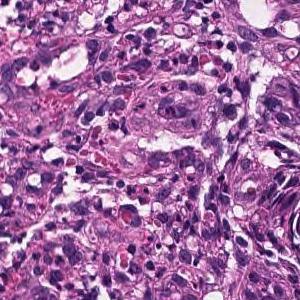
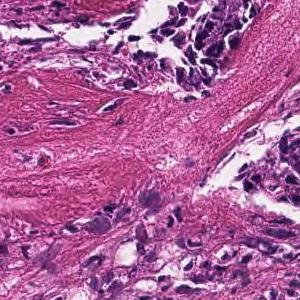
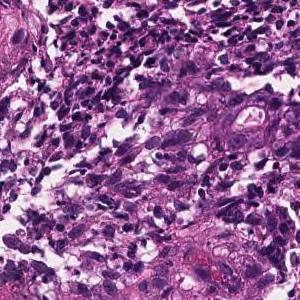
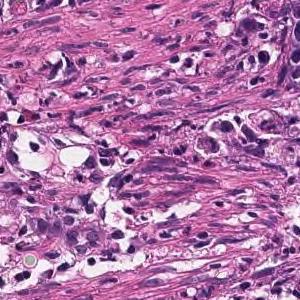
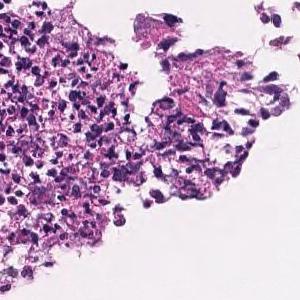
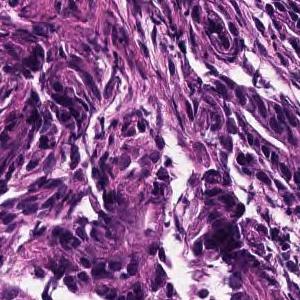
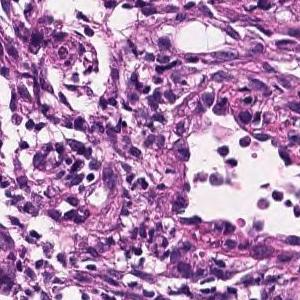
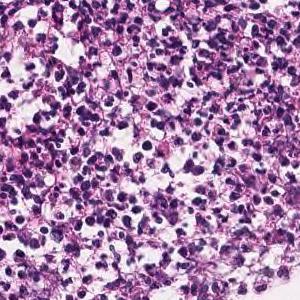
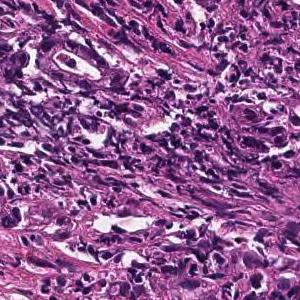
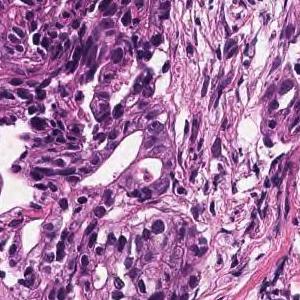
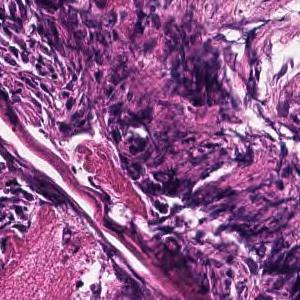
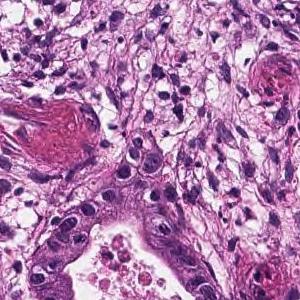
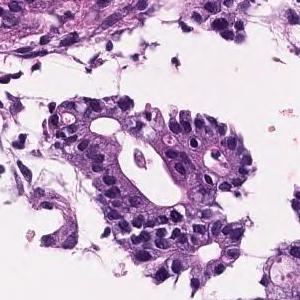
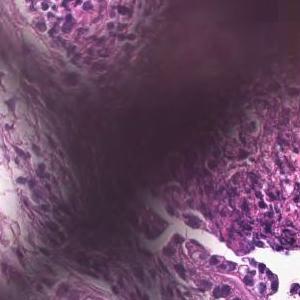
H&E; 14 tiles from the same stomach biopsy slide; 300×300 px each.
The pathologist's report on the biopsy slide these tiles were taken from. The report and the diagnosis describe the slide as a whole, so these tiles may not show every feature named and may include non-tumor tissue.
In the superficial epithelium, medium to small, irregular gland ducts are formed, and in some cases, the gland ducts are fused to show solid alveolar lesions and infiltrating tumor tissue is observed. Moderately to poorly differentiated adenocarcinoma.
